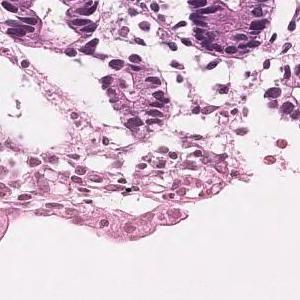
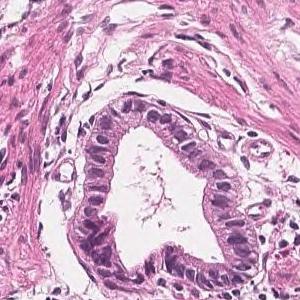
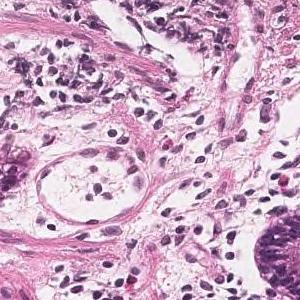
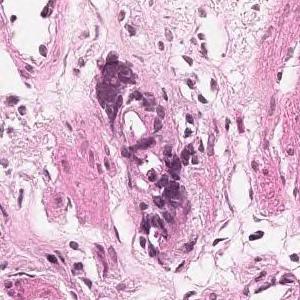
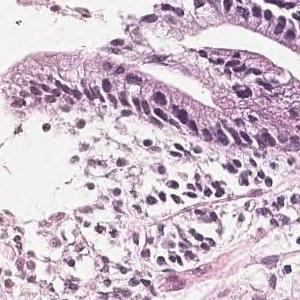
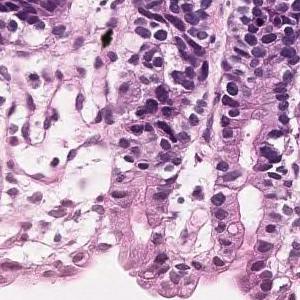
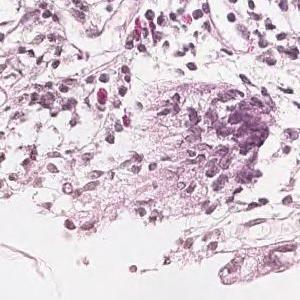
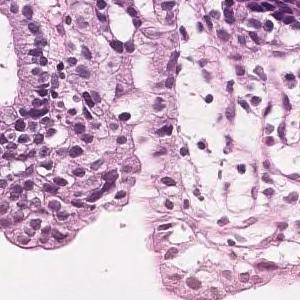
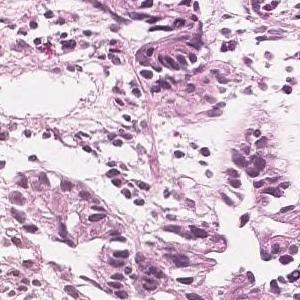
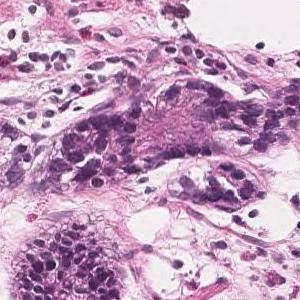
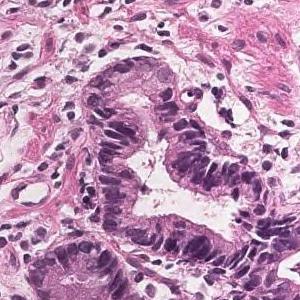
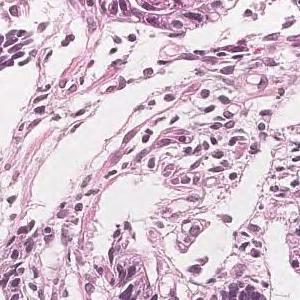
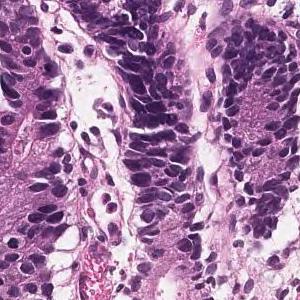
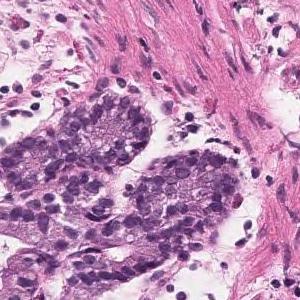
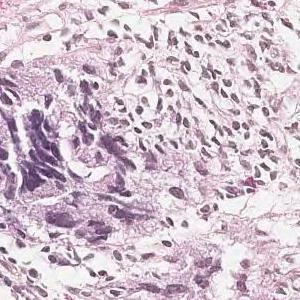
15 tiles cut from one stomach biopsy slide.
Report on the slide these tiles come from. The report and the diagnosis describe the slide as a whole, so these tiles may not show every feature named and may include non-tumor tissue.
Most of the tumor remains in the epithelium and shows a medium-sized circular system or irregular ducts, showing proliferating and developing tumor tissue. Well differentiated tubular adenocarcinoma
